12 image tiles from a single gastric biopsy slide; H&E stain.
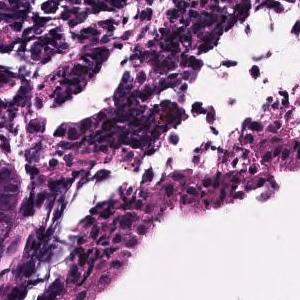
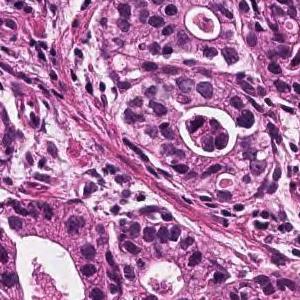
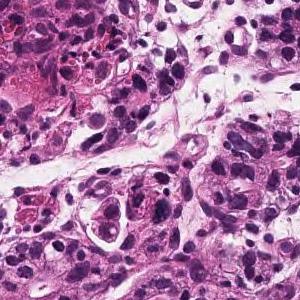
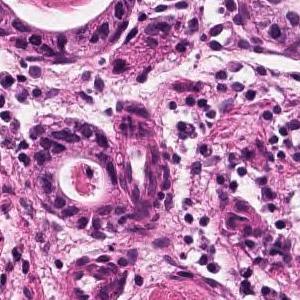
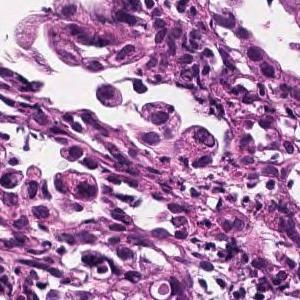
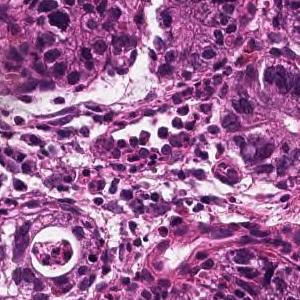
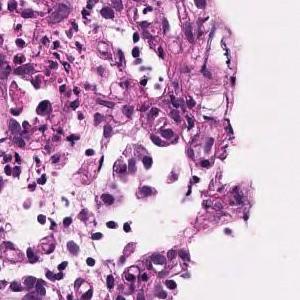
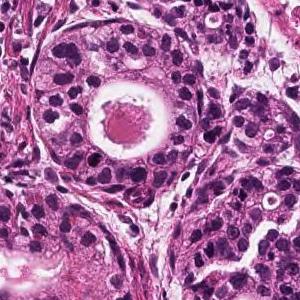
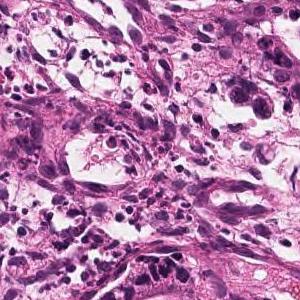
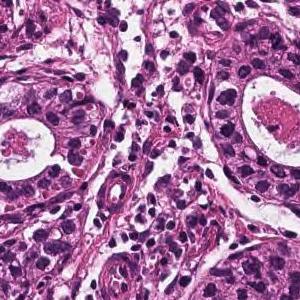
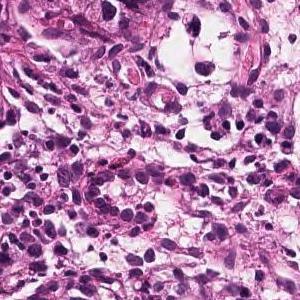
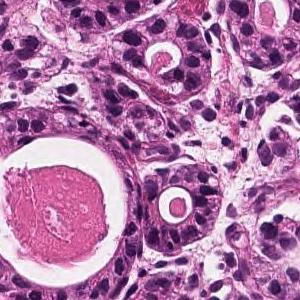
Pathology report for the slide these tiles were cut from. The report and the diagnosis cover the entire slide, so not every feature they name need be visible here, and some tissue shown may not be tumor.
Tumor tissue consisting of medium-sized and irregular ducts is observed infiltrating in the superficial epithelium. Tumor cells are highly columnar, with nuclei aligned basolaterally and polarized. Well differentiated tubular adenocarcinoma.
